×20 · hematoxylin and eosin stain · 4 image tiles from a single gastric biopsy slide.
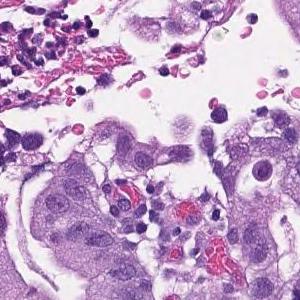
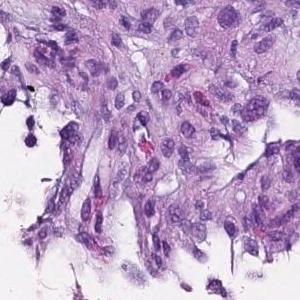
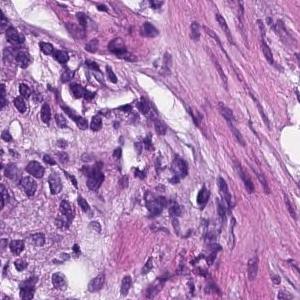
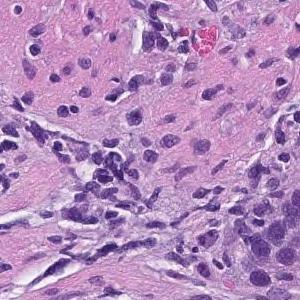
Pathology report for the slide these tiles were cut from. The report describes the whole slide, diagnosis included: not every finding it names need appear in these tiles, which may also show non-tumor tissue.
From the superficial epithelium to the muscularis mucosae, tumor tissue consisting of medium-sized and irregular glandular ducts infiltrating is observed. Well differentiated tubular adenocarcinoma
